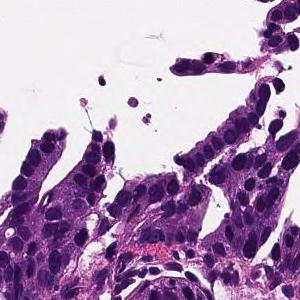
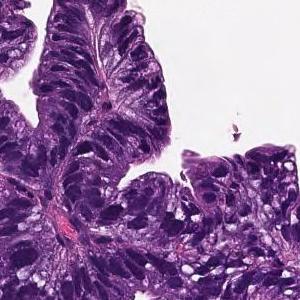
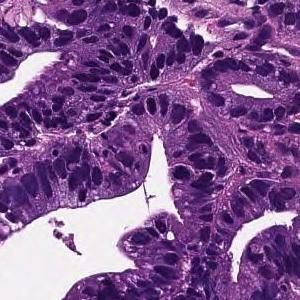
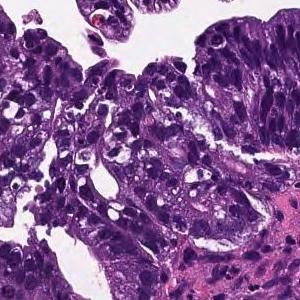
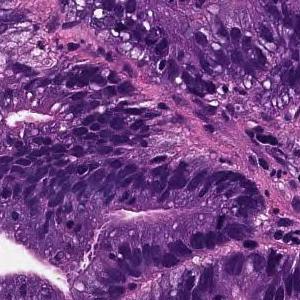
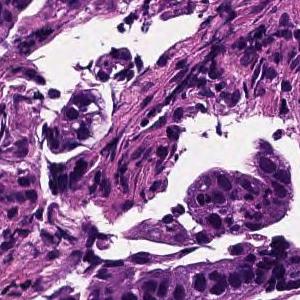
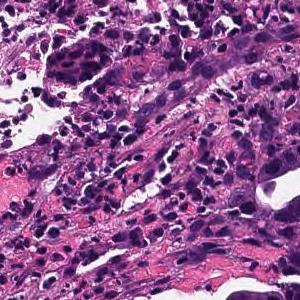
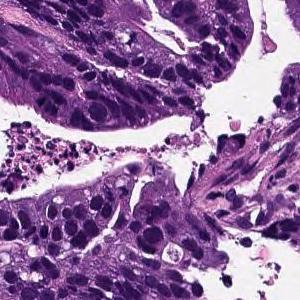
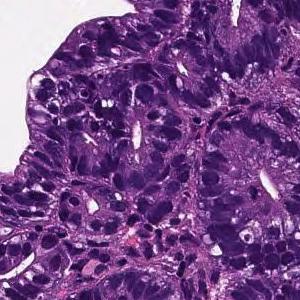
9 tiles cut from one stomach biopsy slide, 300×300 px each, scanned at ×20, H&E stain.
Report on the slide these tiles come from. What the report and the diagnosis say applies to the whole slide; these tiles may miss some of the features named and may include tissue that is not tumor.
Tumor cells are large, highly columnar, large club-shaped nuclei, and are associated with chromatin aggregation. Papillary adenocarcinoma.
